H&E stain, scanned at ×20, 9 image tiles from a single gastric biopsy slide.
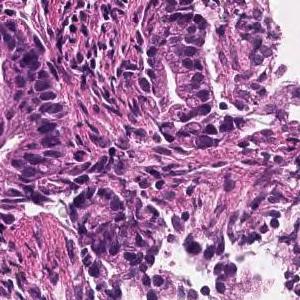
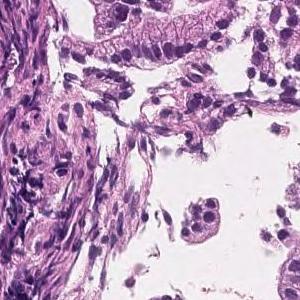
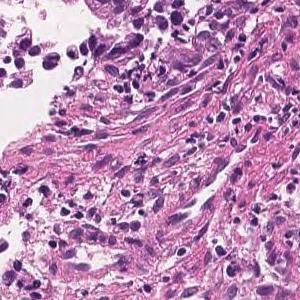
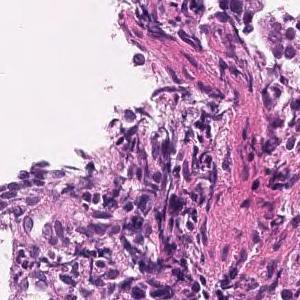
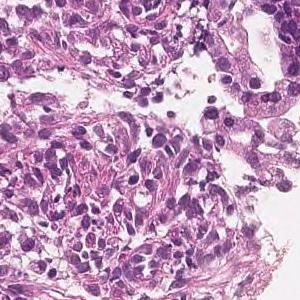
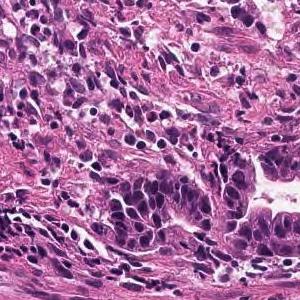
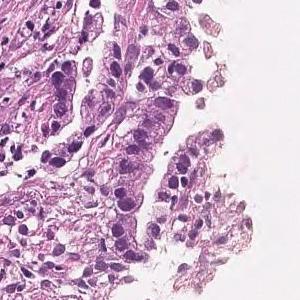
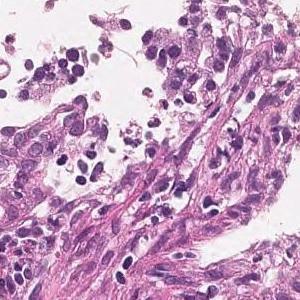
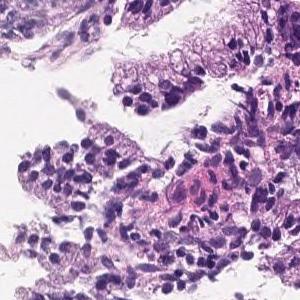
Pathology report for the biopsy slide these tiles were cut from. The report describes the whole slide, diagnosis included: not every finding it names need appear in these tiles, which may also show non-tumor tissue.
Tumor cells are large, highly columnar, large club-shaped nuclei, and are associated with chromatin aggregation. Papillary adenocarcinoma.
